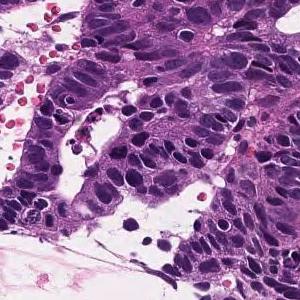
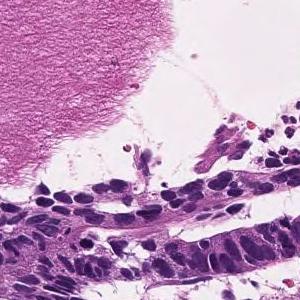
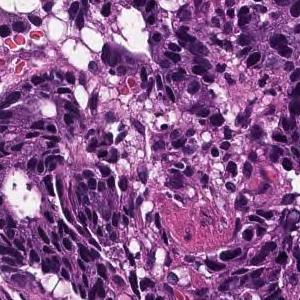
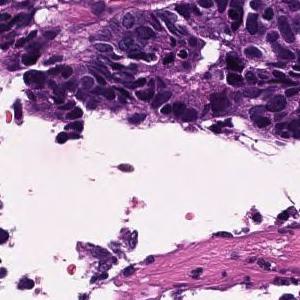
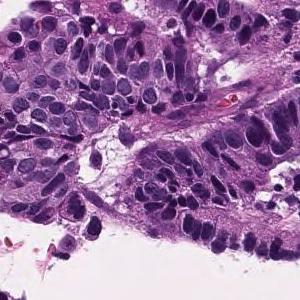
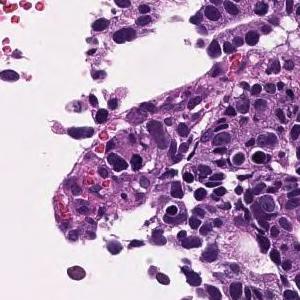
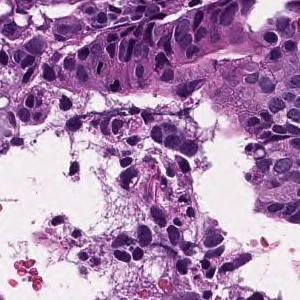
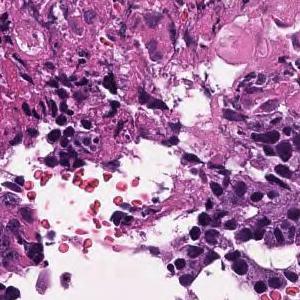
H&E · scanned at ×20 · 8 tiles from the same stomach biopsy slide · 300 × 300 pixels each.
The pathologist's report on the biopsy slide these tiles were taken from. What the report and the diagnosis say applies to the whole slide; these tiles may miss some of the features named and may include tissue that is not tumor.
Tumor tissue consisting of large, irregular glandular ducts, centered on the submucosa, infiltrated by fusion with each other is observed. Well to moderately differentiated tubular adenocarcinoma (well differentiated tubular adenocarcinoma-moderately differentiated tubular adenocarcinoma)
Histological subtype: Well to moderately differentiated tubular adenocarcinoma.
